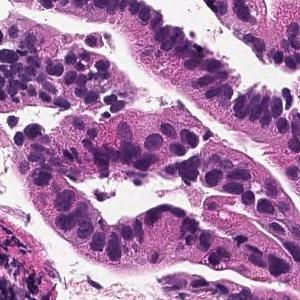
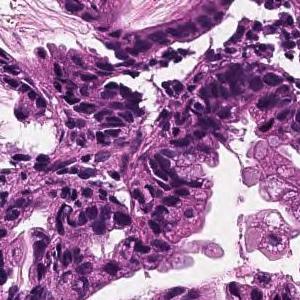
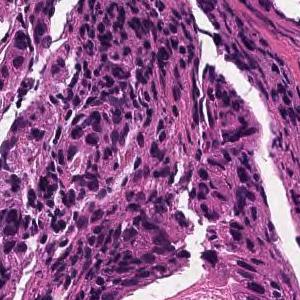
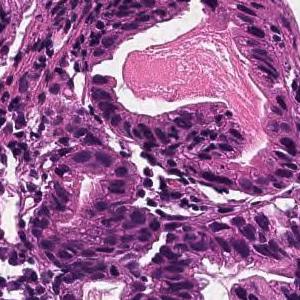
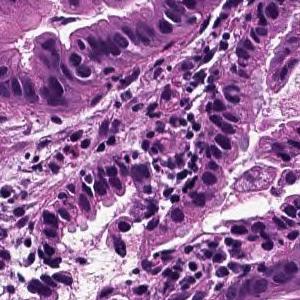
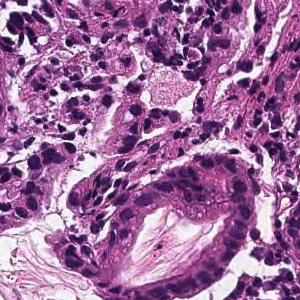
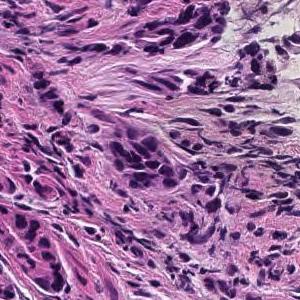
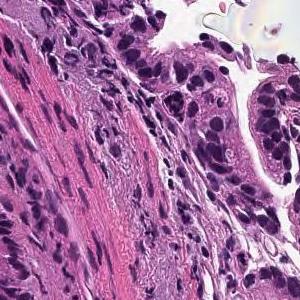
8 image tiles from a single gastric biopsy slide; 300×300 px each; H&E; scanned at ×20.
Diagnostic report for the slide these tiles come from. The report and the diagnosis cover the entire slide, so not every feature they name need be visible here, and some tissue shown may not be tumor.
Tumor cells are large, highly columnar, large club-shaped nuclei, and are associated with chromatin aggregation. Papillary adenocarcinoma.
